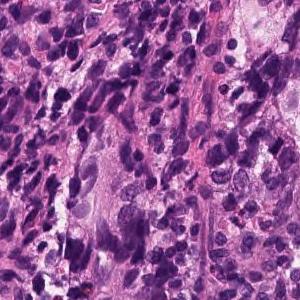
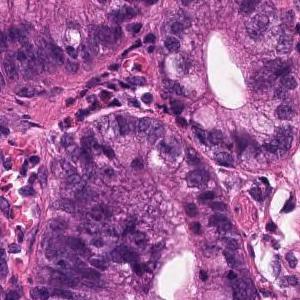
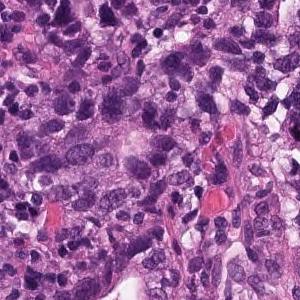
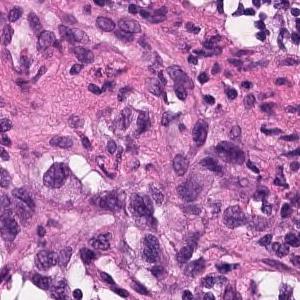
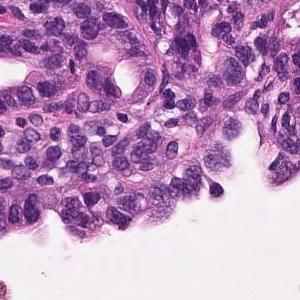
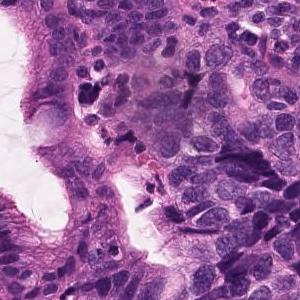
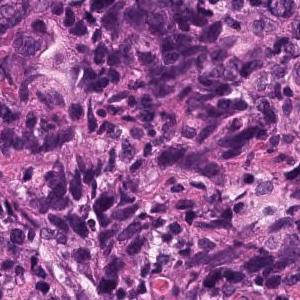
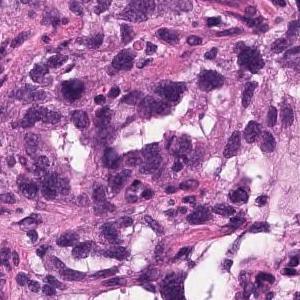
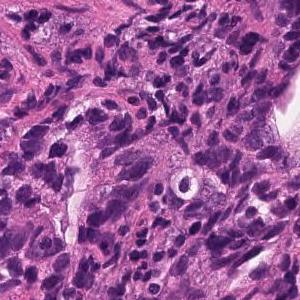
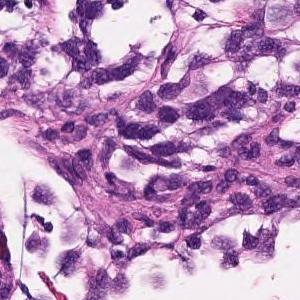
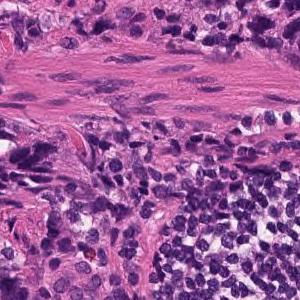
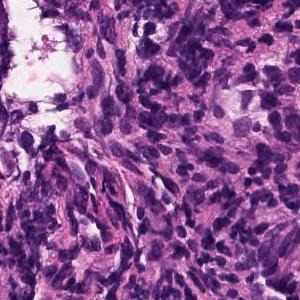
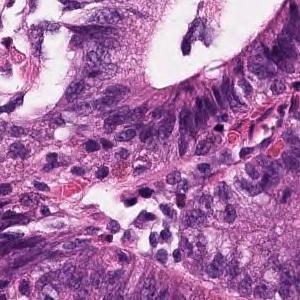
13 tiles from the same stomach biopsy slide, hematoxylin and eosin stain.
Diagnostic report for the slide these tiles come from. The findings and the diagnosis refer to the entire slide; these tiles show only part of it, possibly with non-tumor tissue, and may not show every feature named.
In the superficial epithelium, tumor tissue that invades by forming medium-sized to small, irregular ducts is observed. Moderately differentiated adenocarcinoma.
Histologic type: Moderately differentiated tubular adenocarcinoma.
